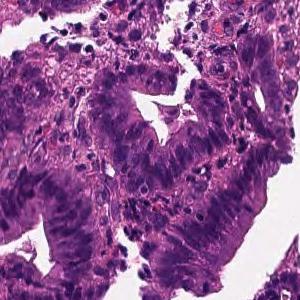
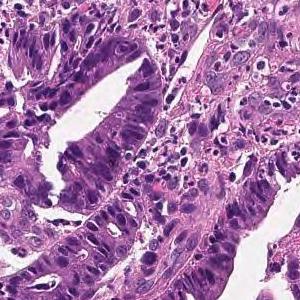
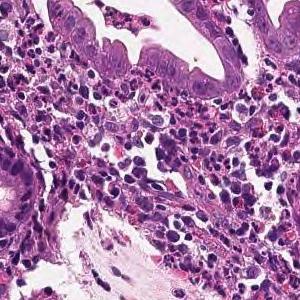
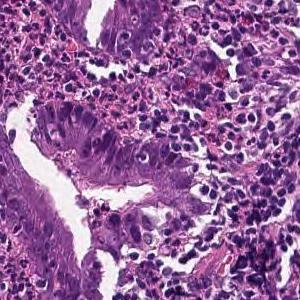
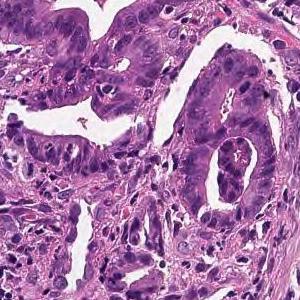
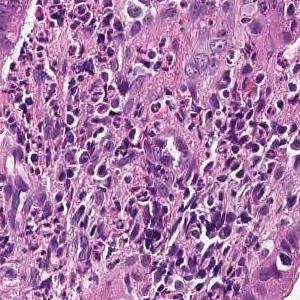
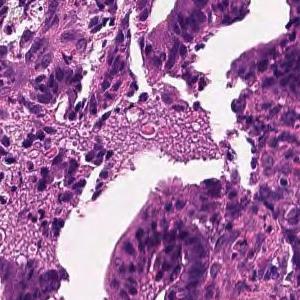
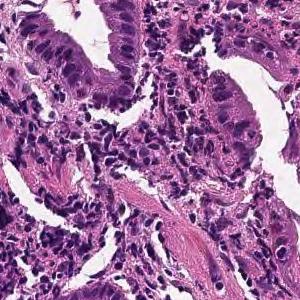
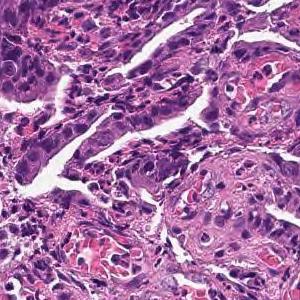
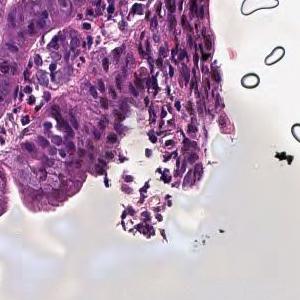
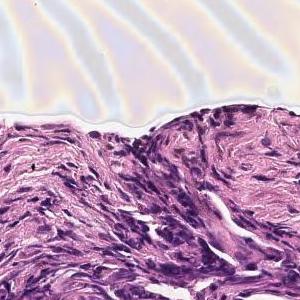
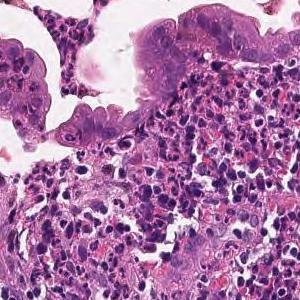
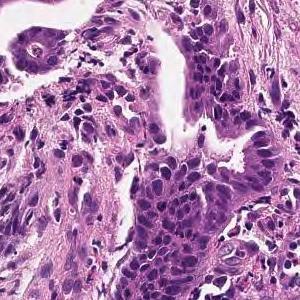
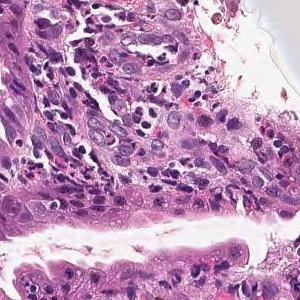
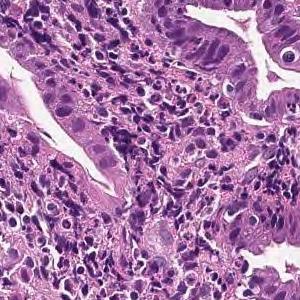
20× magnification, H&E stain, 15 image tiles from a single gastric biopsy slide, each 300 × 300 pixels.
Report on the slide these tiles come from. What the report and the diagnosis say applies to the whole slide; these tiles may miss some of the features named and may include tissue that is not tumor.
From the superficial epithelium to the muscularis mucosae, tumor tissue consisting of medium-sized and irregular glandular ducts infiltrating is observed. Well differentiated tubular adenocarcinoma
